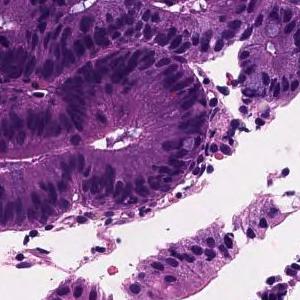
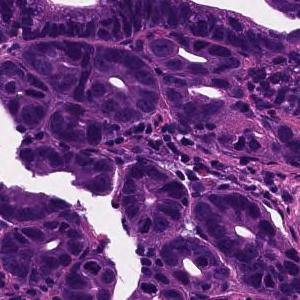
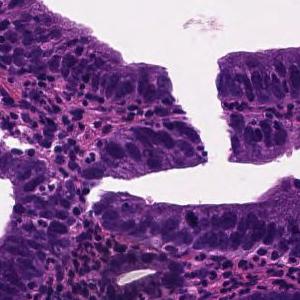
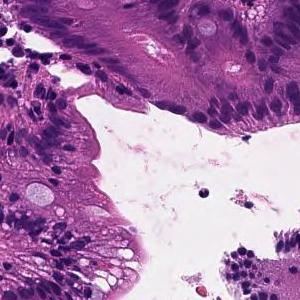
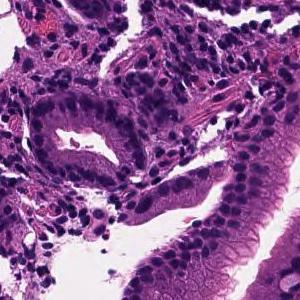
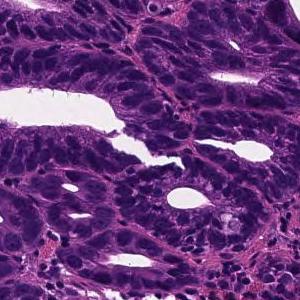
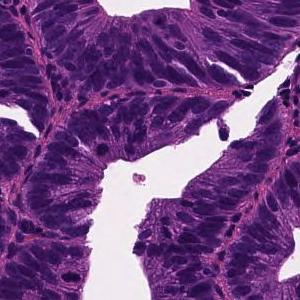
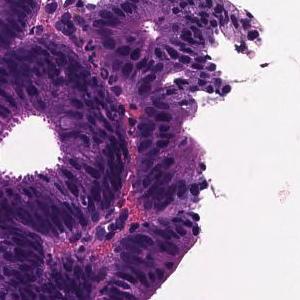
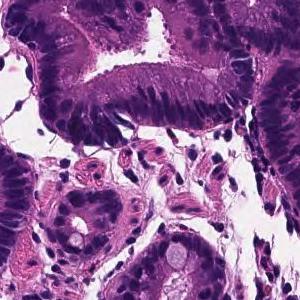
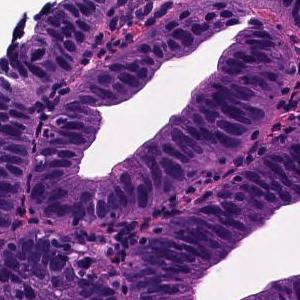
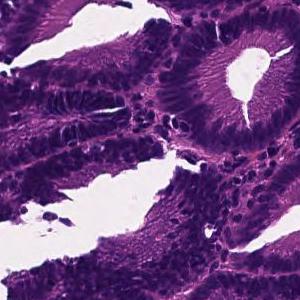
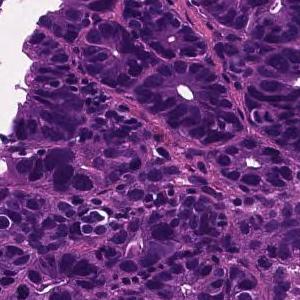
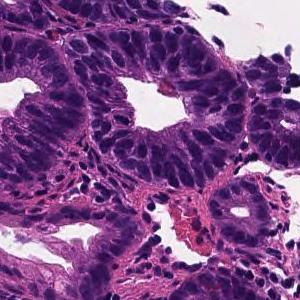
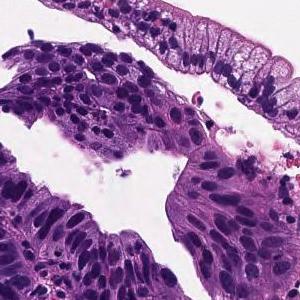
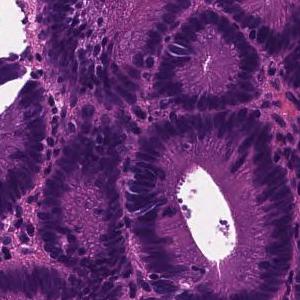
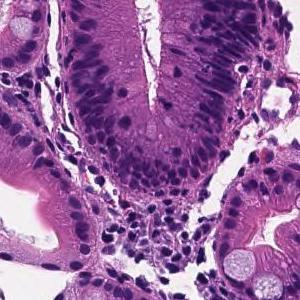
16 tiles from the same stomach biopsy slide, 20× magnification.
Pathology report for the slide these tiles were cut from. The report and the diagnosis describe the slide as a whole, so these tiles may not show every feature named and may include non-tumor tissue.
Tumor tissue in which medium to small irregular ducts infiltrate and proliferate in the submucosa can be seen in the epithelium. Well differentiated tubular adenocarcinoma
